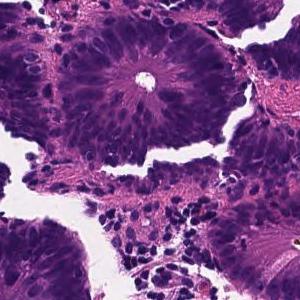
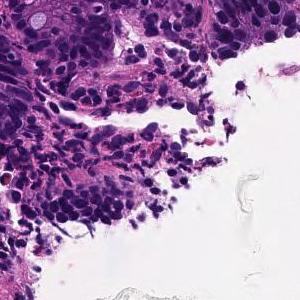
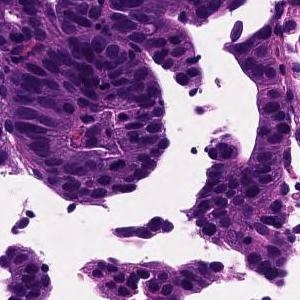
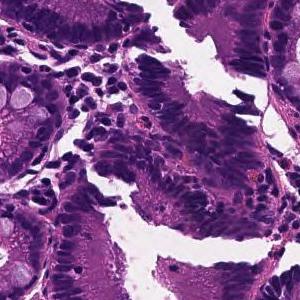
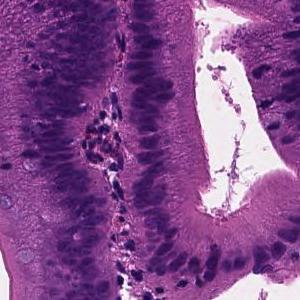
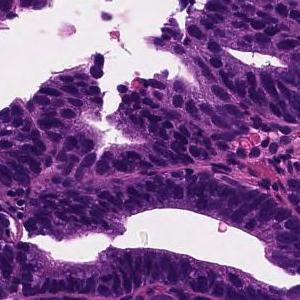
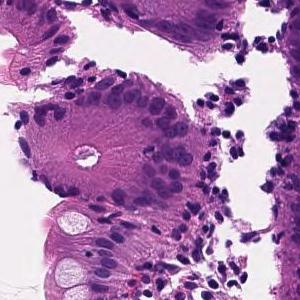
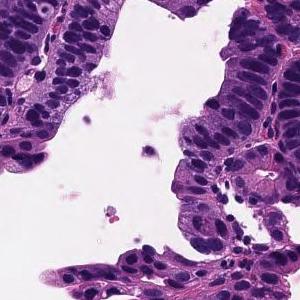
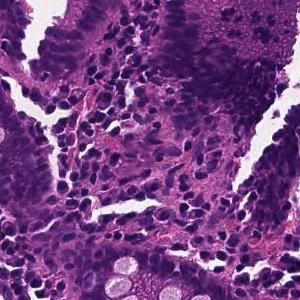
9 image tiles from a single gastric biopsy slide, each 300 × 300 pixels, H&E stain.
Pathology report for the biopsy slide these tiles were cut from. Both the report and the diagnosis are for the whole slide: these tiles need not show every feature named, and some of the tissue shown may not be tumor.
Tumor tissue in which medium to small irregular ducts infiltrate and proliferate in the submucosa can be seen in the epithelium. Well differentiated tubular adenocarcinoma
